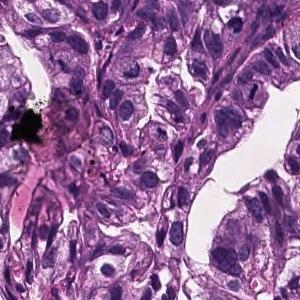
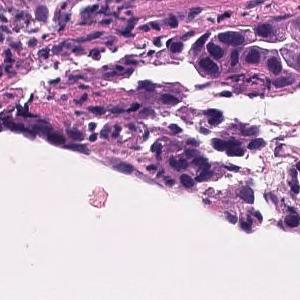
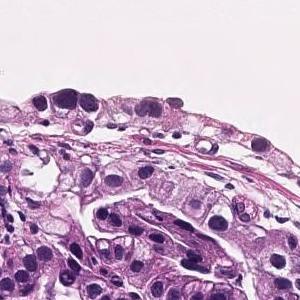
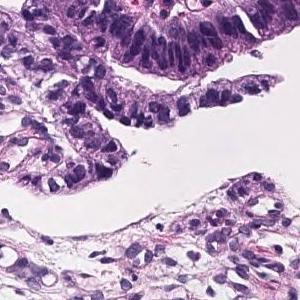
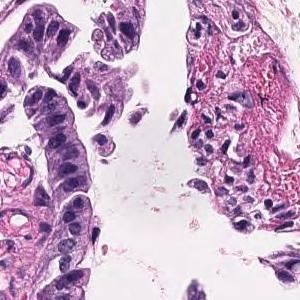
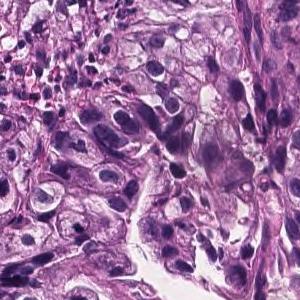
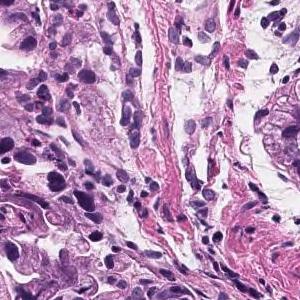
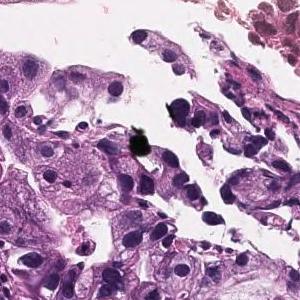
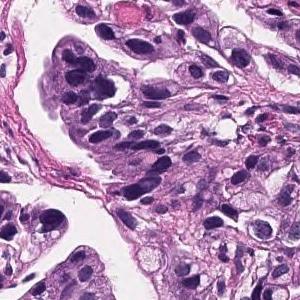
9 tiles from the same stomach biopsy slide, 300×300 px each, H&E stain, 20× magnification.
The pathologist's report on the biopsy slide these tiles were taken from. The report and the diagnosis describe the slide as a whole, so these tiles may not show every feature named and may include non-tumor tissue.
Tumor cells are large, highly columnar, large club-shaped nuclei, and are associated with chromatin aggregation. Papillary adenocarcinoma.
